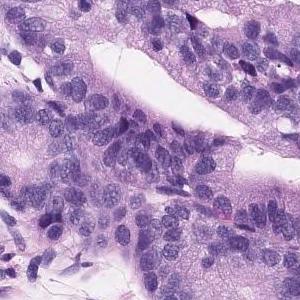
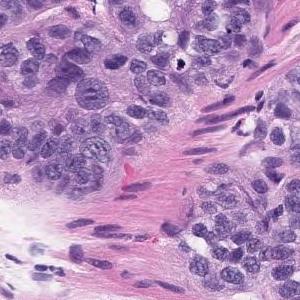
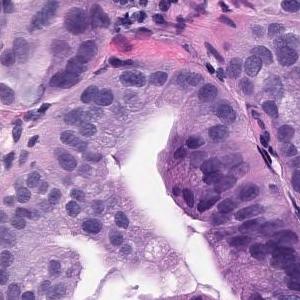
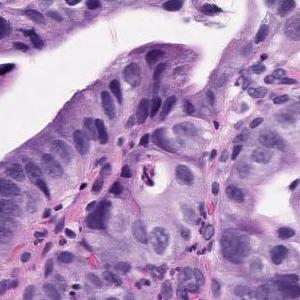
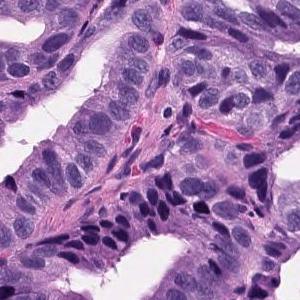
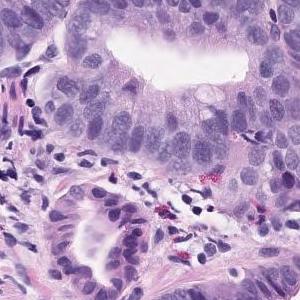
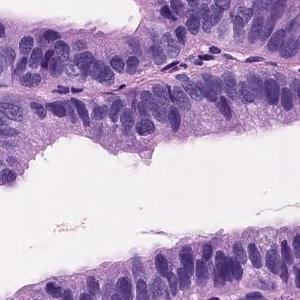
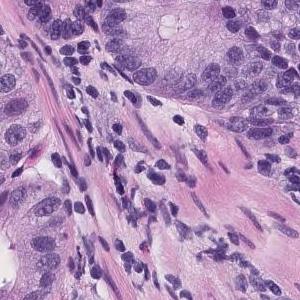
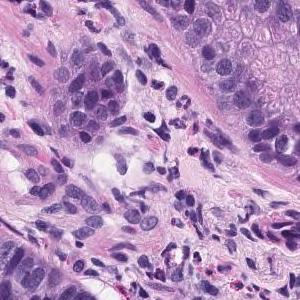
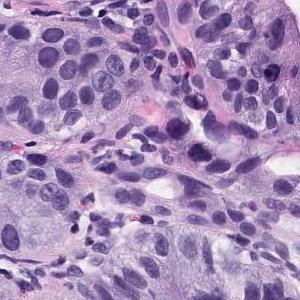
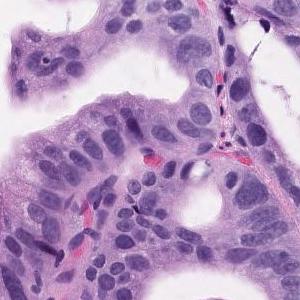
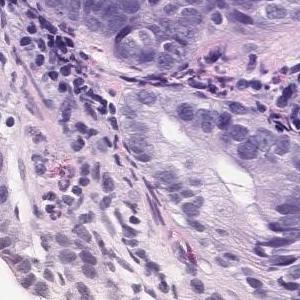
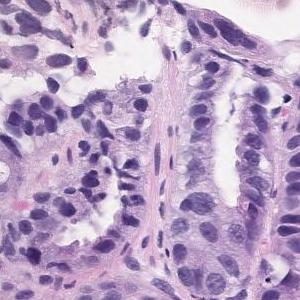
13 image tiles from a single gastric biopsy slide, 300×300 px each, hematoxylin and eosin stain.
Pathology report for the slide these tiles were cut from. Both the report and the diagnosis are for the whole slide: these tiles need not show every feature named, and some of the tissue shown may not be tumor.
Tumor tissue consisting of medium-sized and irregular ducts is observed infiltrating in the superficial epithelium. Tumor cells are highly columnar, with nuclei aligned basolaterally and polarized. Well differentiated tubular adenocarcinoma.
